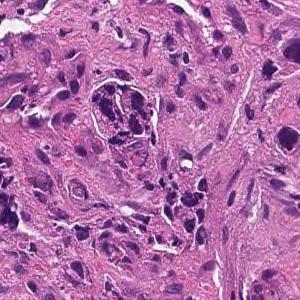
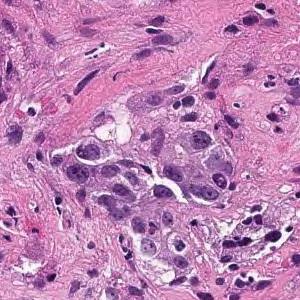
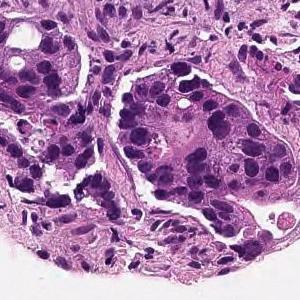
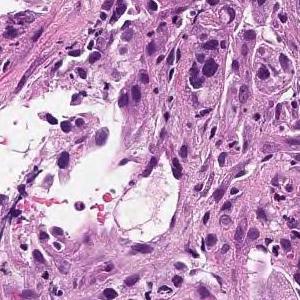
4 patches cut from one gastric biopsy slide · 300×300 px each · hematoxylin and eosin stain · ×20.
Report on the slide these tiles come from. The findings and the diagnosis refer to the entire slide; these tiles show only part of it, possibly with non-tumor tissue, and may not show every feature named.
Tumor tissue consisting of cord-like or small, irregular glandular ducts fused and infiltrated is observed in the superficial epithelium. Poorly differentiated adenocarcinoma, non-solid type
The term "non-solid type" comes from the Japanese Classification of Gastric Carcinoma.
